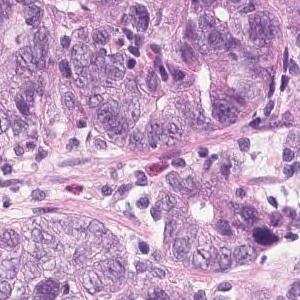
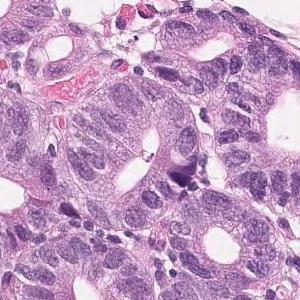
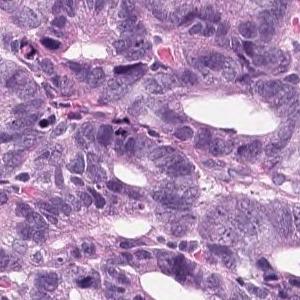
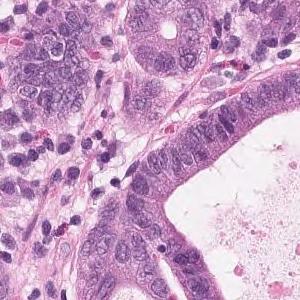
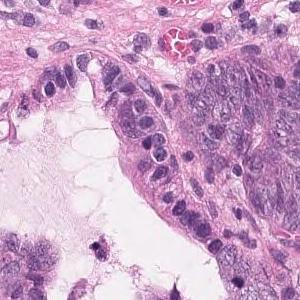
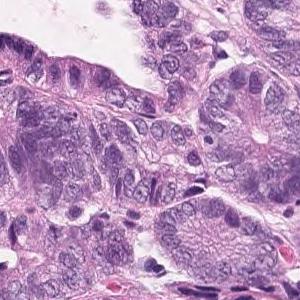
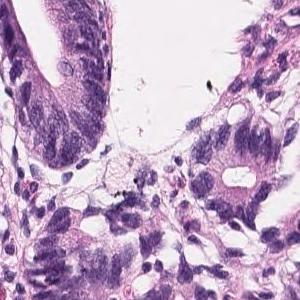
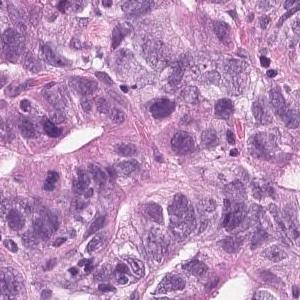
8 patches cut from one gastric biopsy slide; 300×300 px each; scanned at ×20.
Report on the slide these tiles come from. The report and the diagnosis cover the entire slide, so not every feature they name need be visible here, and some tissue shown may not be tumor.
Atypical ducts with severe atypia are densely populated in the superficial epithelium, and tumor tissue with hyperplasia is observed. Well differentiated tubular adenocarcinoma
